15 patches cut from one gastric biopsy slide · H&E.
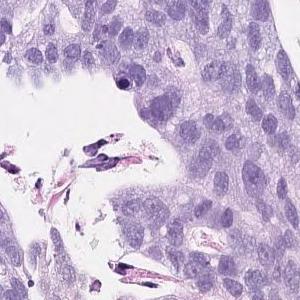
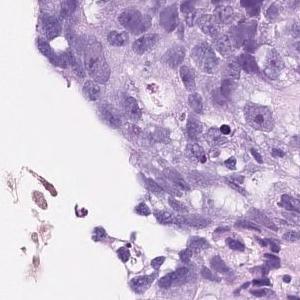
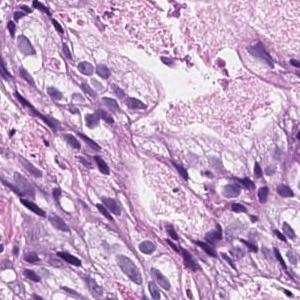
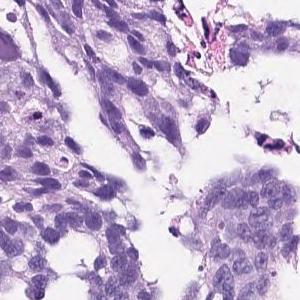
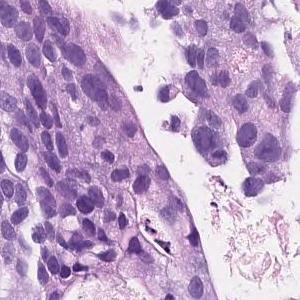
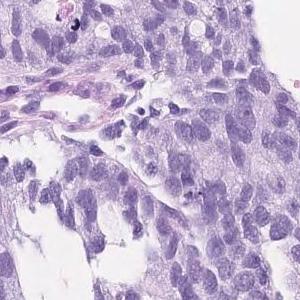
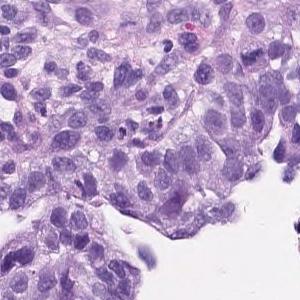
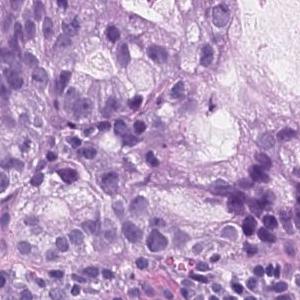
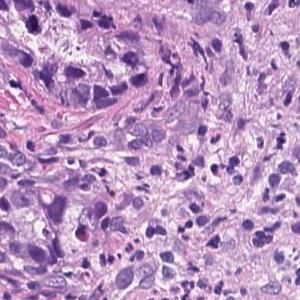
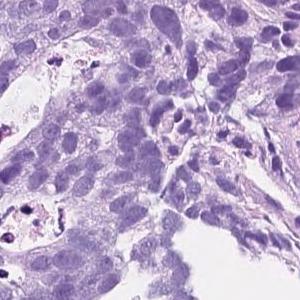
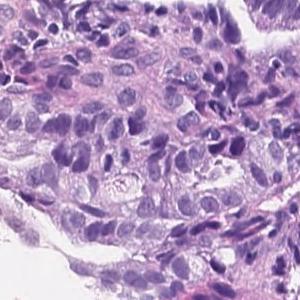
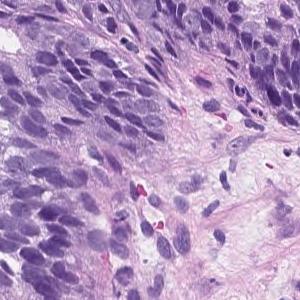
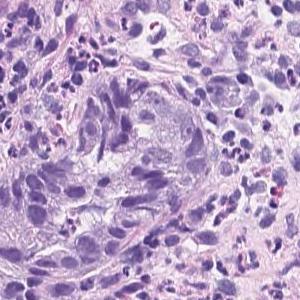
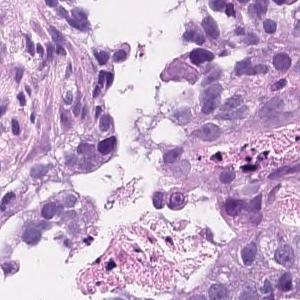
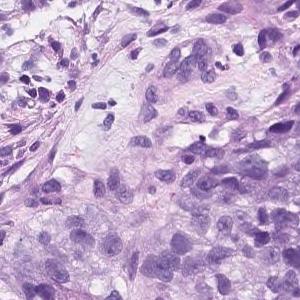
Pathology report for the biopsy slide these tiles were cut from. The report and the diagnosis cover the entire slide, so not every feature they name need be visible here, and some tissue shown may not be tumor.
On the superficial epithelium, tumor tissue consisting of an image of large, irregular glandular ducts partially fused and infiltrated is observed. Well to moderately differentiated tubular adenocarcinoma
